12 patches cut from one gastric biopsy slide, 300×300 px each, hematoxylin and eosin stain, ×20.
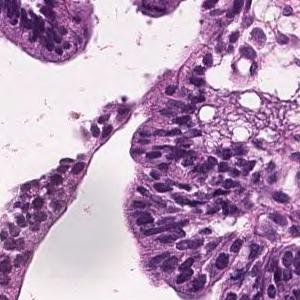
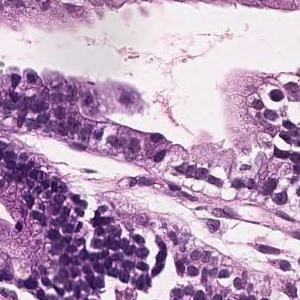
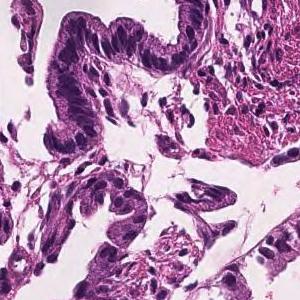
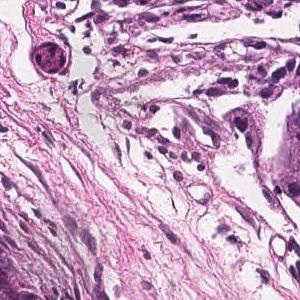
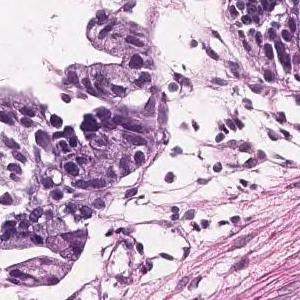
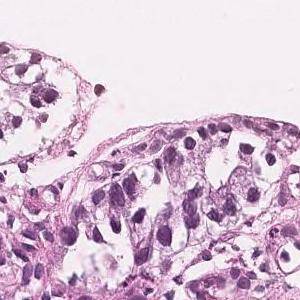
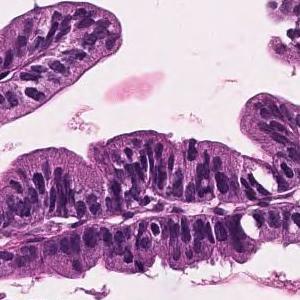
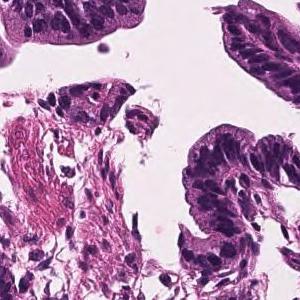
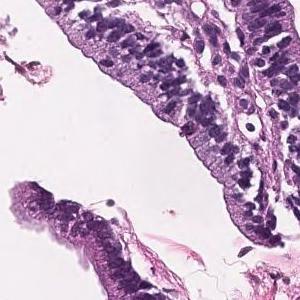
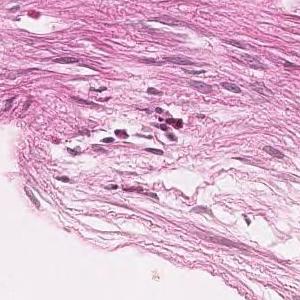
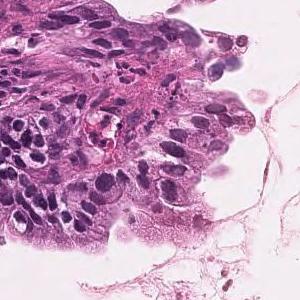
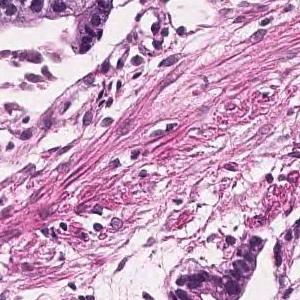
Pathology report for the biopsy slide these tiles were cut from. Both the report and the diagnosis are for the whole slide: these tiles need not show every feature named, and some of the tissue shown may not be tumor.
Tumor cells are large, highly columnar, large club-shaped nuclei, and are associated with chromatin aggregation. Papillary adenocarcinoma.
